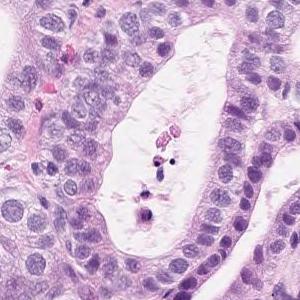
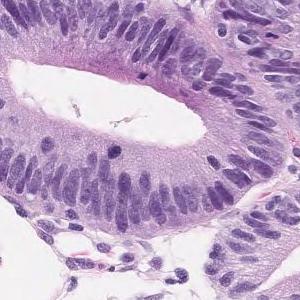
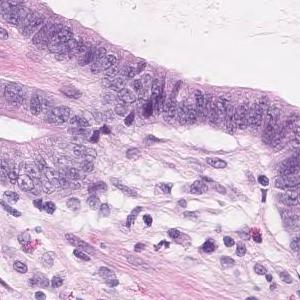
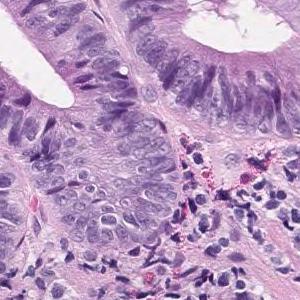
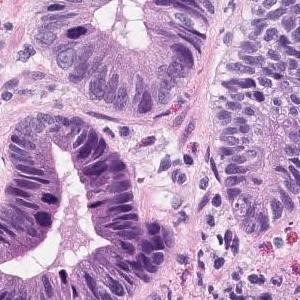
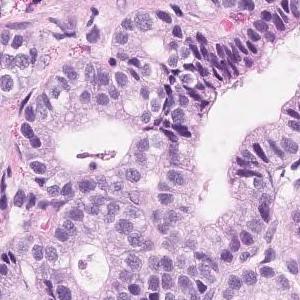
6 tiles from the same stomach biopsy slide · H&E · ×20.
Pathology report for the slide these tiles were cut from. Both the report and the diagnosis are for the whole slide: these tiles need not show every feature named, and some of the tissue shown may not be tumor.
Short atypical epithelium with swelling of the nucleus shows proliferating, large and small irregular ductal structures. Well to moderately differentiated tubular adenocarcinoma (well differentiated tubular adenocarcinoma-moderately differentiated tubular adenocarcinoma)
Histological subtype: Well to moderately differentiated tubular adenocarcinoma.
